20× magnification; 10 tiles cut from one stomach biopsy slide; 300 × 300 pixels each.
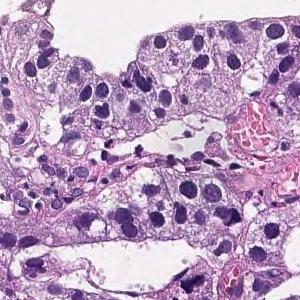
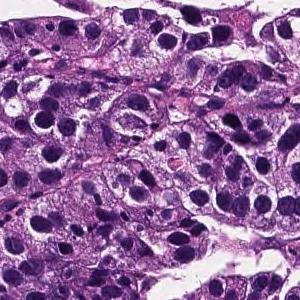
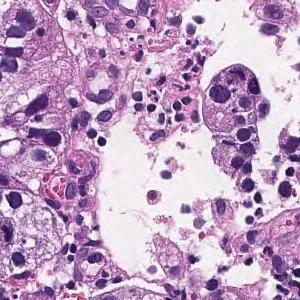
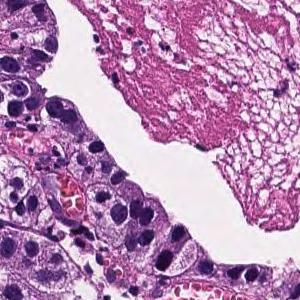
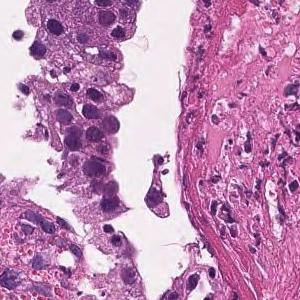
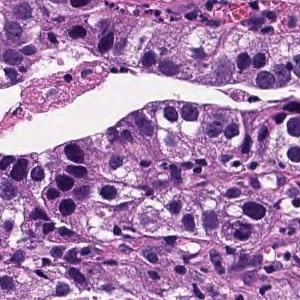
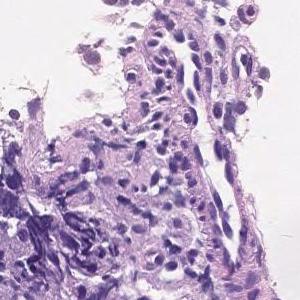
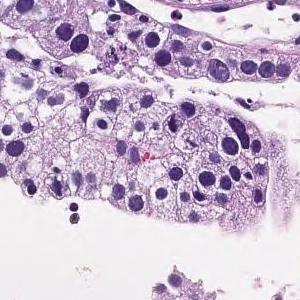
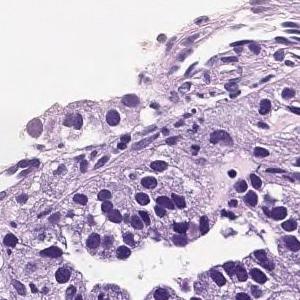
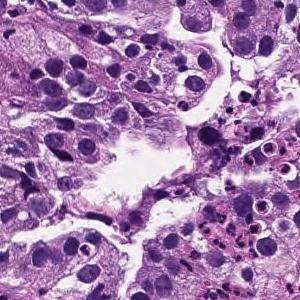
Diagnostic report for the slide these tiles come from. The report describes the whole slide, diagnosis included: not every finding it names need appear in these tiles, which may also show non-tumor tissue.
On the superficial epithelium, tumor tissue that infiltrates by forming medium-sized papillary or small irregular ducts is observed. Papillary adenocarcinoma
